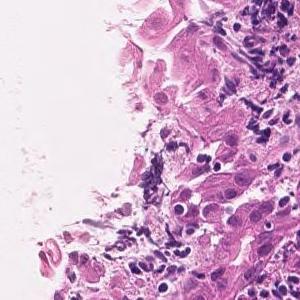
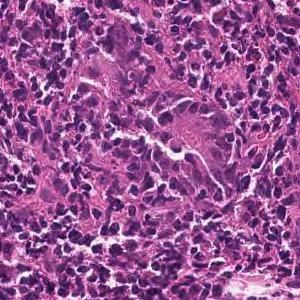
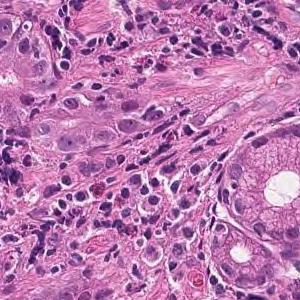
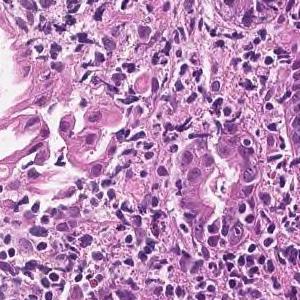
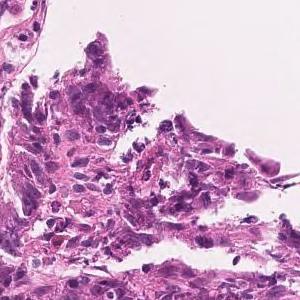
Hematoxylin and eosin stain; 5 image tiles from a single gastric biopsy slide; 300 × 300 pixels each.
Pathology report for the slide these tiles were cut from. What the report and the diagnosis say applies to the whole slide; these tiles may miss some of the features named and may include tissue that is not tumor.
Tumor tissue consisting of medium-sized, cord-like or irregular glandular infiltration is observed in the superficial epithelium. Poorly differentiated adenocarcinoma, non-solid type or moderately differentiated tubular adenocarcinoma
The dataset labels this slide poorly differentiated adenocarcinoma, non-solid type.
"Non-solid type" is a category of the Japanese Classification of Gastric Carcinoma.
